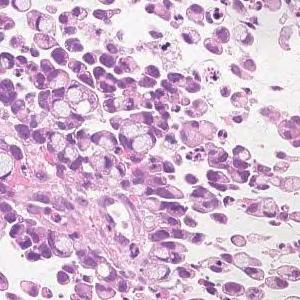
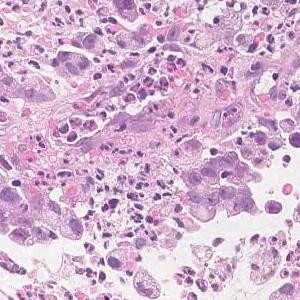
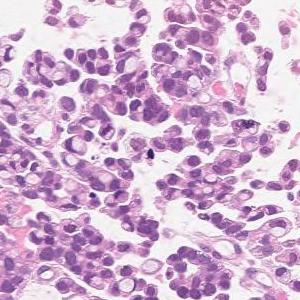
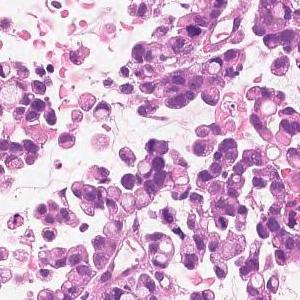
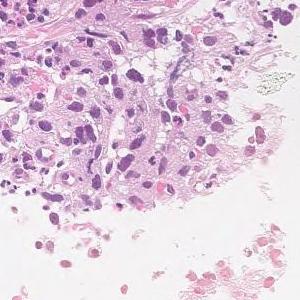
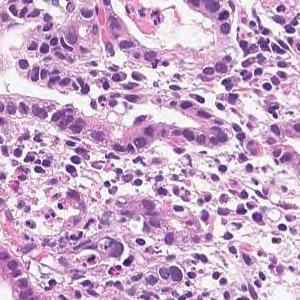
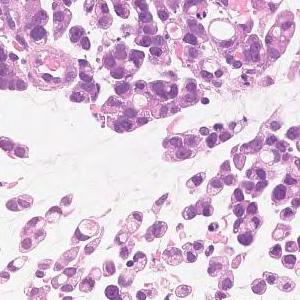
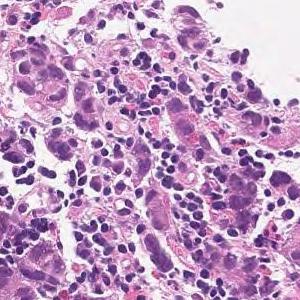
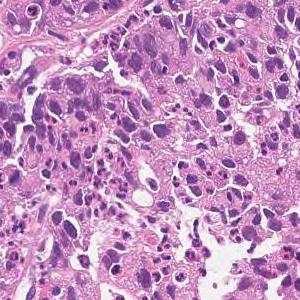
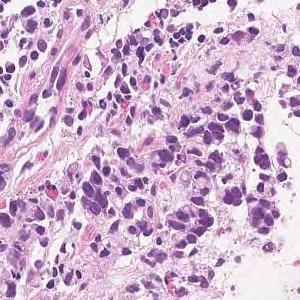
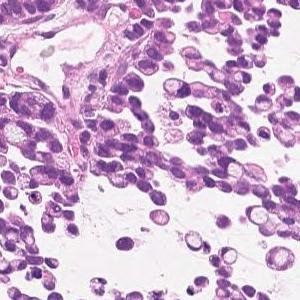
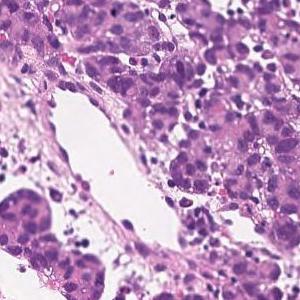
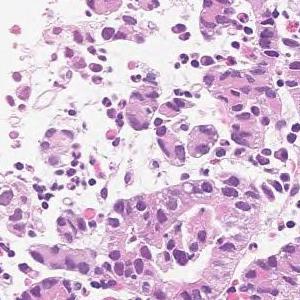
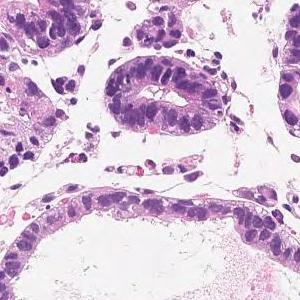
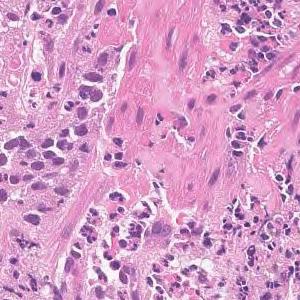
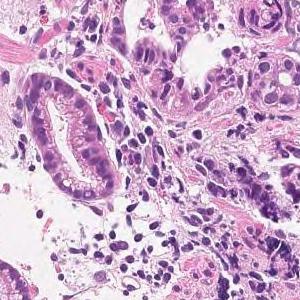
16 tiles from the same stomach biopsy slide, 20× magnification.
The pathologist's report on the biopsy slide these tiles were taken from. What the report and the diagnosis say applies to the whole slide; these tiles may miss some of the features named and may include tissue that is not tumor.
Medium to small, irregular glandular ducts are formed in the superficial epithelium, and in some cases, the glandular ducts are fused to show solid alveolar lesions and infiltrating tumor tissue is observed. Moderately to poorly differentiated adenocarcinoma.
